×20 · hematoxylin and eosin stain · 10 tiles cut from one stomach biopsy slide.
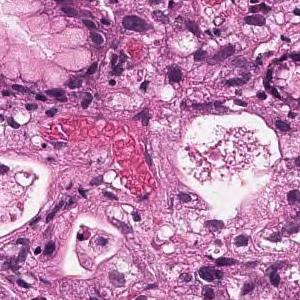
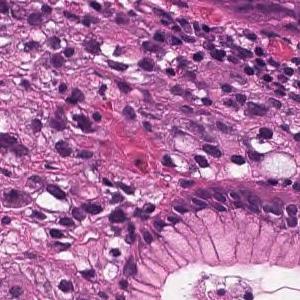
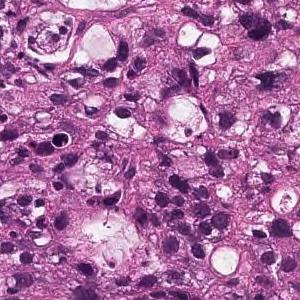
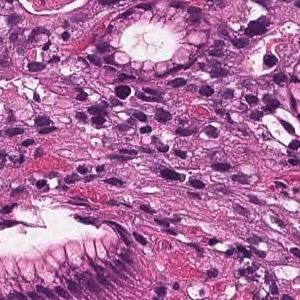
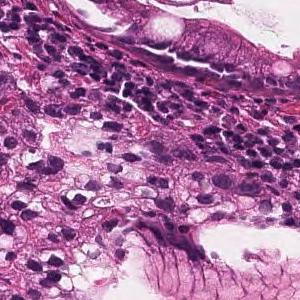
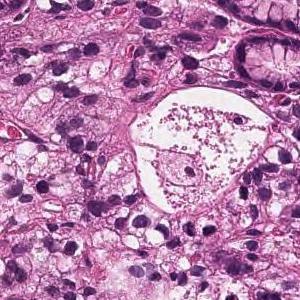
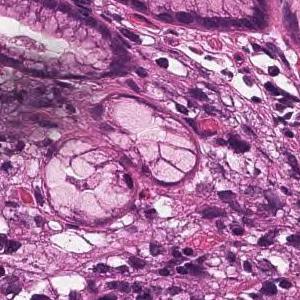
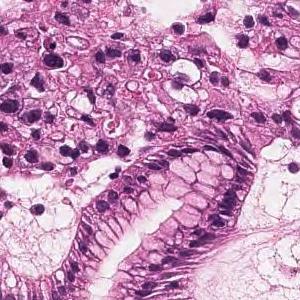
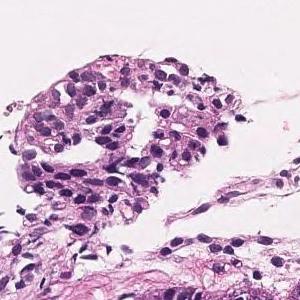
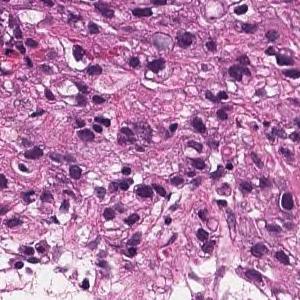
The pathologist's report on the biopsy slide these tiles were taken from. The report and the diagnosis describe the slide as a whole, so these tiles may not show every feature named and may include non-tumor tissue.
Medium to small, irregular glandular ducts are formed in the superficial epithelium, and in some cases, the glandular ducts are fused to show solid alveolar lesions and infiltrating tumor tissue is observed. Moderately to poorly differentiated adenocarcinoma.
